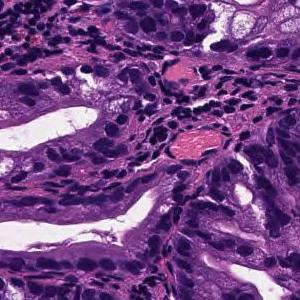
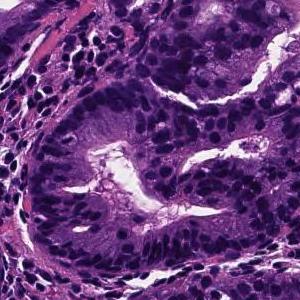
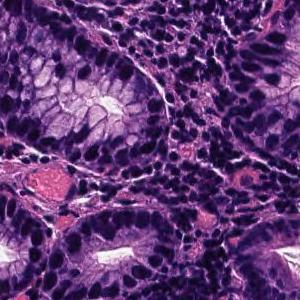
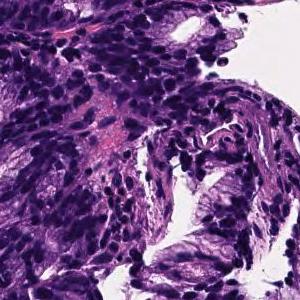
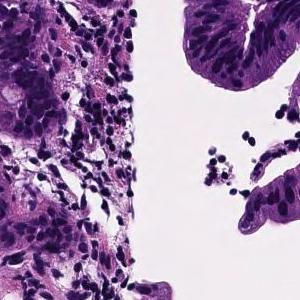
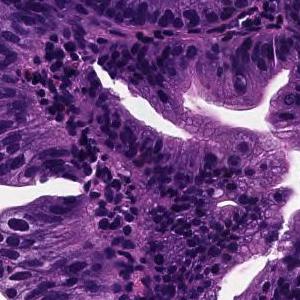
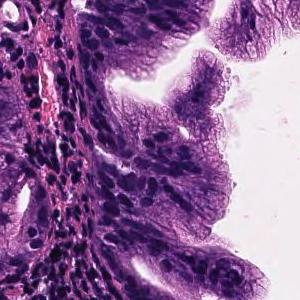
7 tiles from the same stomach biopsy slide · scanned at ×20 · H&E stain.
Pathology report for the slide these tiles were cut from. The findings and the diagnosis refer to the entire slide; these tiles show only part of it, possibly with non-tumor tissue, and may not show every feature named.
On the superficial epithelium, tumor tissue that infiltrates by forming medium-sized papillary or small irregular ducts is observed. Papillary adenocarcinoma
